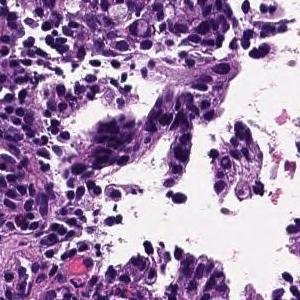
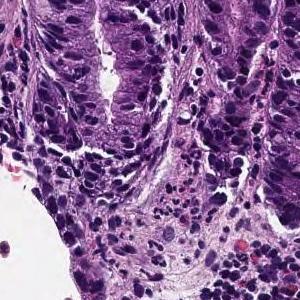
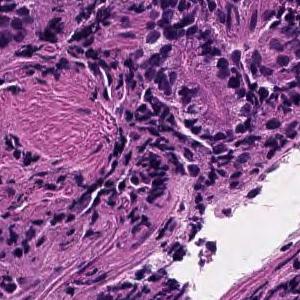
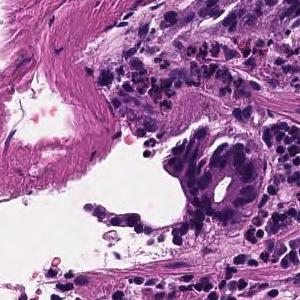
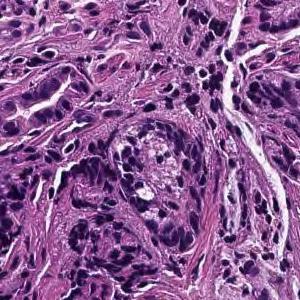
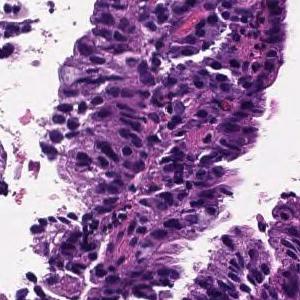
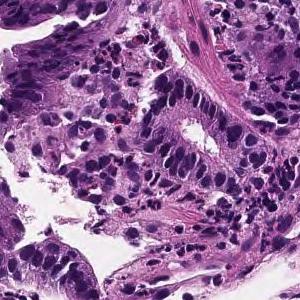
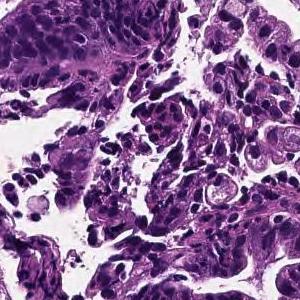
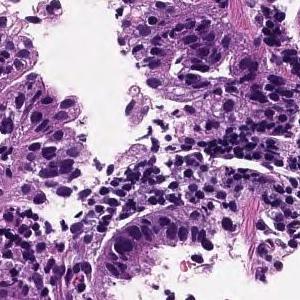
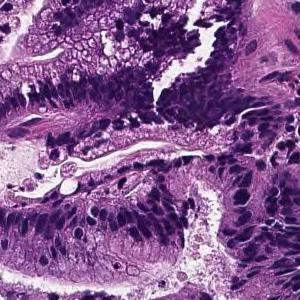
H&E; scanned at ×20; 10 tiles cut from one stomach biopsy slide.
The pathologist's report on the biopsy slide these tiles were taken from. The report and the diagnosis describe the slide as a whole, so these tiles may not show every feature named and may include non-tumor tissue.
From the superficial epithelium to the muscularis mucosae, tumor tissue consisting of medium-sized and irregular glandular ducts infiltrating is observed. Well differentiated tubular adenocarcinoma
